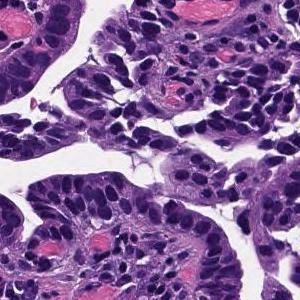
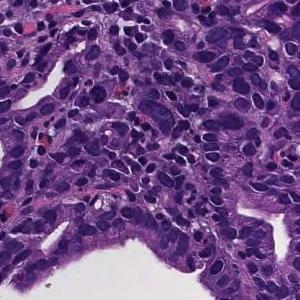
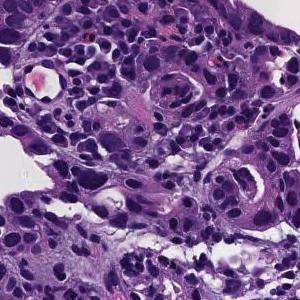
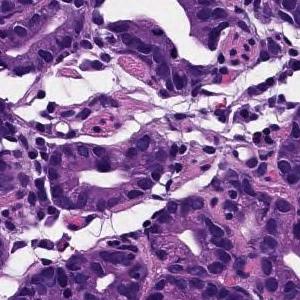
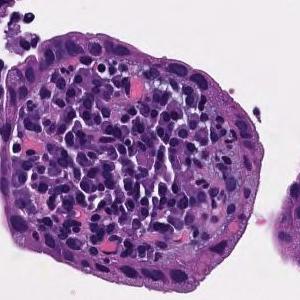
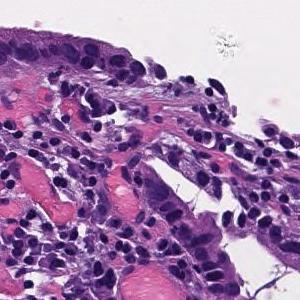
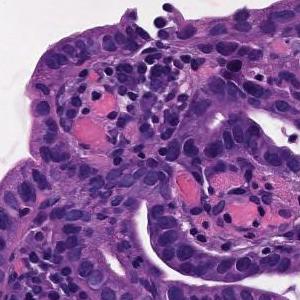
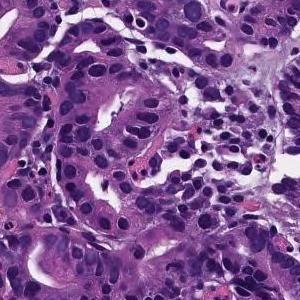
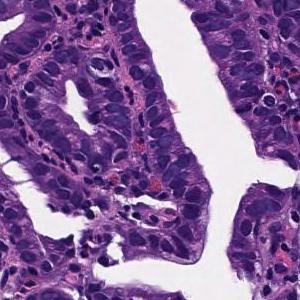
Hematoxylin and eosin stain · ×20 · 9 image tiles from a single gastric biopsy slide · each 300 × 300 pixels.
The pathologist's report on the biopsy slide these tiles were taken from. Both the report and the diagnosis are for the whole slide: these tiles need not show every feature named, and some of the tissue shown may not be tumor.
From the superficial epithelium to the muscularis mucosae, tumor tissue consisting of medium-sized and irregular glandular ducts infiltrating is observed. Well differentiated tubular adenocarcinoma
